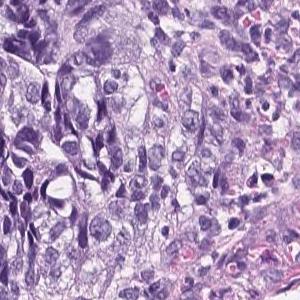
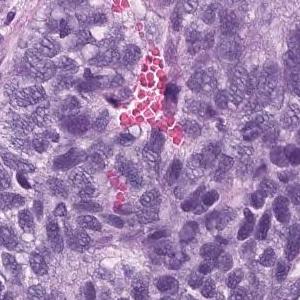
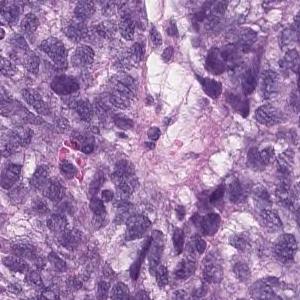
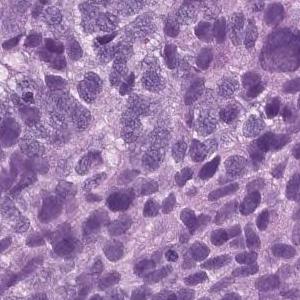
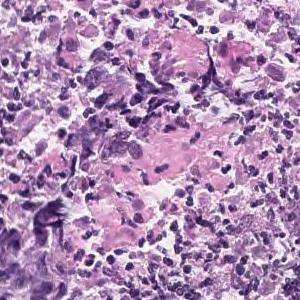
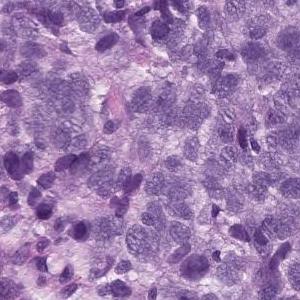
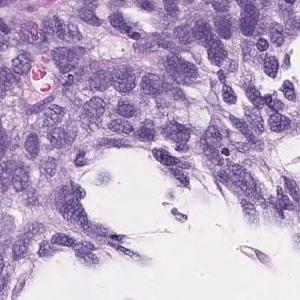
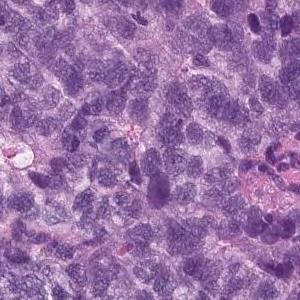
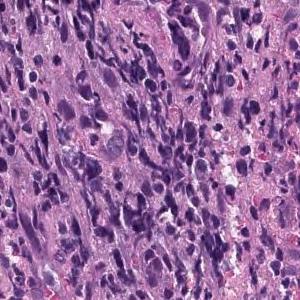
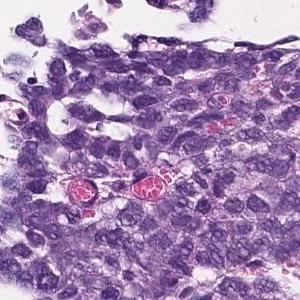
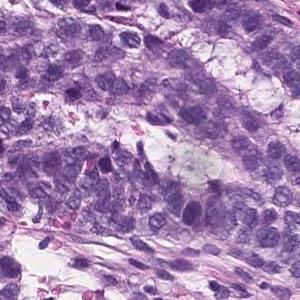
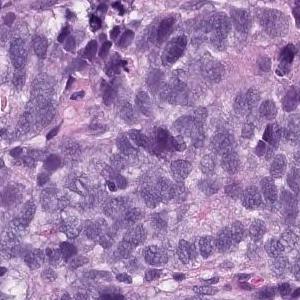
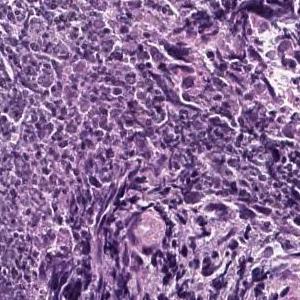
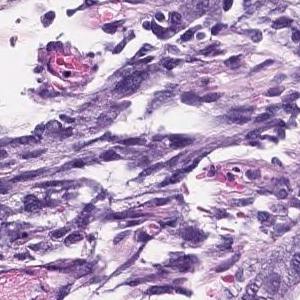
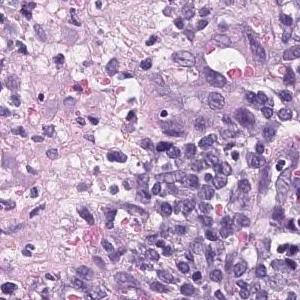
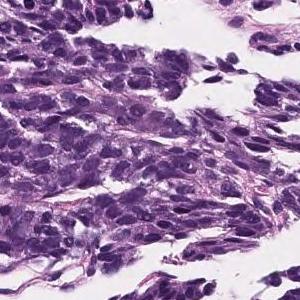
16 patches cut from one gastric biopsy slide; 20× magnification.
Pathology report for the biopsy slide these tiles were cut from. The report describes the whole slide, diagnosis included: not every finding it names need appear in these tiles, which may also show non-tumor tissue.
Epithelial cells with swollen nuclei with atypia invasively proliferating while forming vesicles is observed. Poorly differentiated adenocarcinoma
Classified as poorly differentiated adenocarcinoma, solid type, a category of the Japanese Classification of Gastric Carcinoma; in the WHO 2019 classification it is tubular adenocarcinoma, poorly differentiated.
